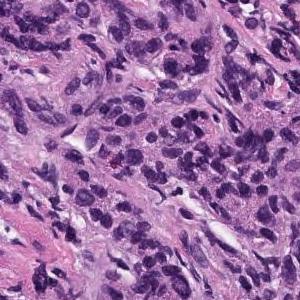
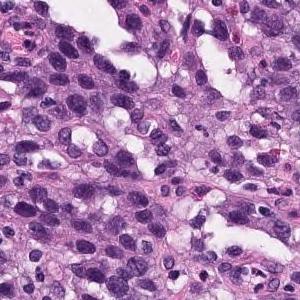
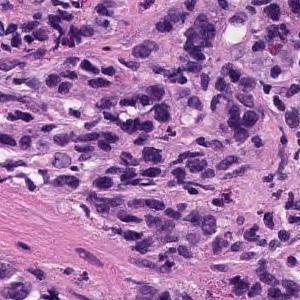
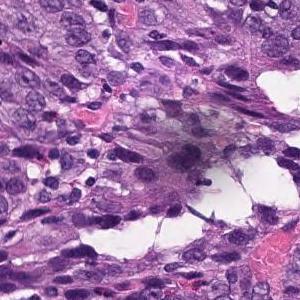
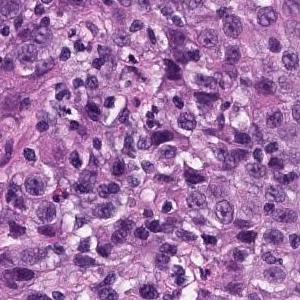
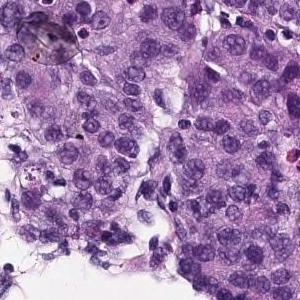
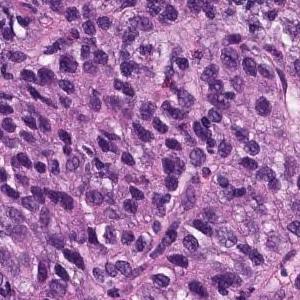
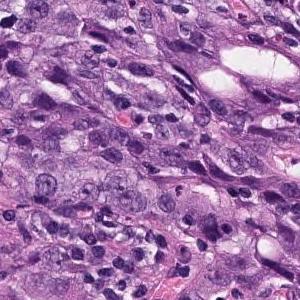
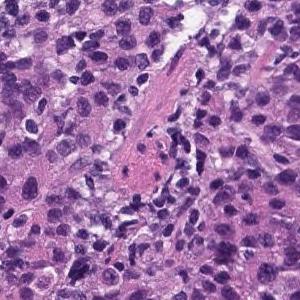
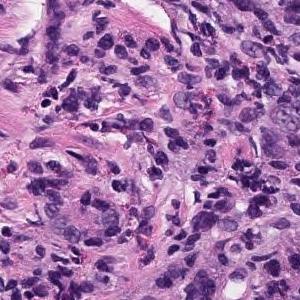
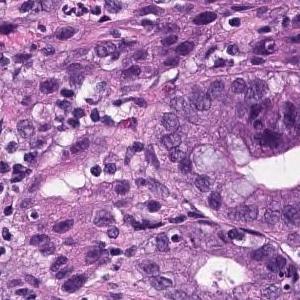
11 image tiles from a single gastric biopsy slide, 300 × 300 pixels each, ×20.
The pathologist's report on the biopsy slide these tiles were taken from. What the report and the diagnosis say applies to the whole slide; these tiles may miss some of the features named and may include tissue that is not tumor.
In the superficial epithelium, tumor tissue that invades by forming medium-sized to small, irregular ducts is observed. Moderately differentiated adenocarcinoma.
Histological subtype: Moderately differentiated tubular adenocarcinoma.
